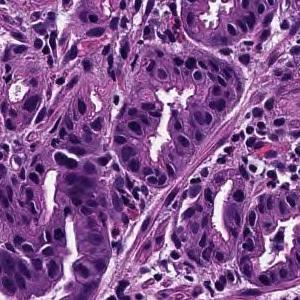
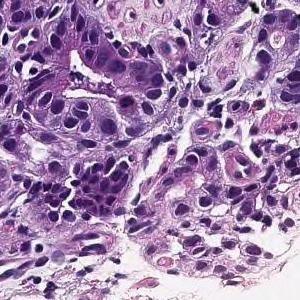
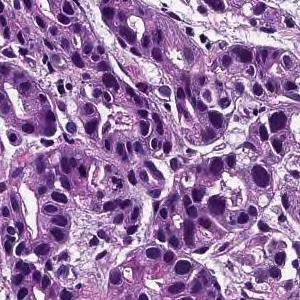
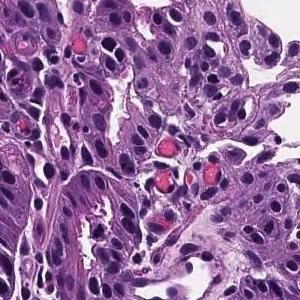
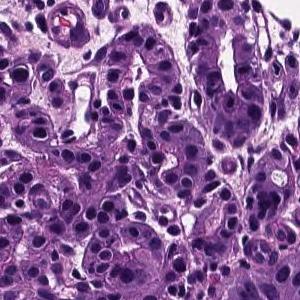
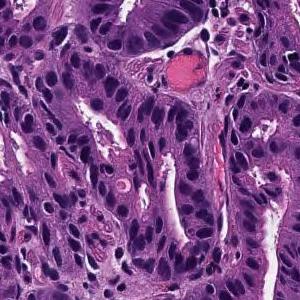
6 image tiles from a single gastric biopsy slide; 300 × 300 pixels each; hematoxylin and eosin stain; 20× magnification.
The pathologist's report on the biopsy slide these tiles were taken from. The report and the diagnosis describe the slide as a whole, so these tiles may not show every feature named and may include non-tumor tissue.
From the superficial epithelium to the muscularis mucosae, tumor tissue consisting of medium-sized and irregular glandular ducts infiltrating is observed. Well differentiated tubular adenocarcinoma
